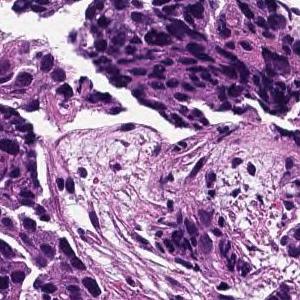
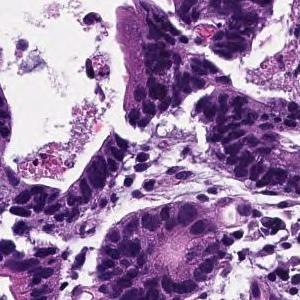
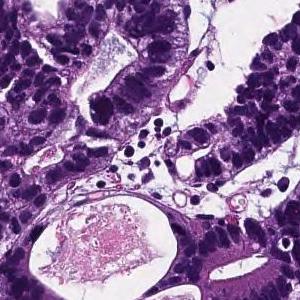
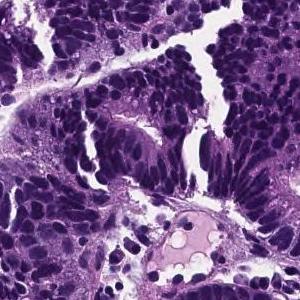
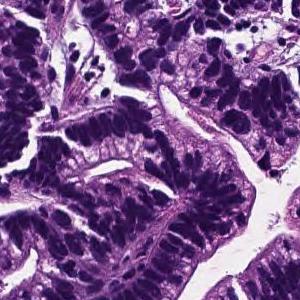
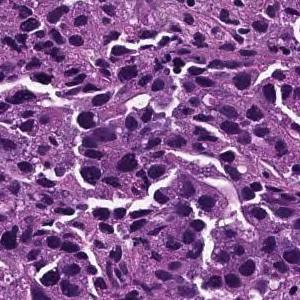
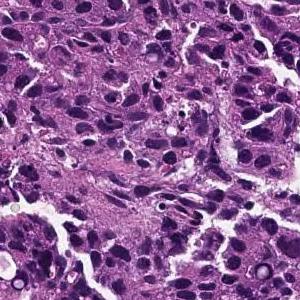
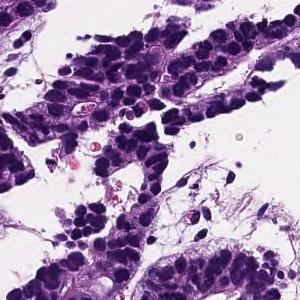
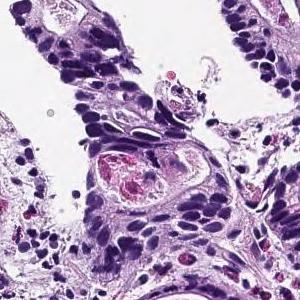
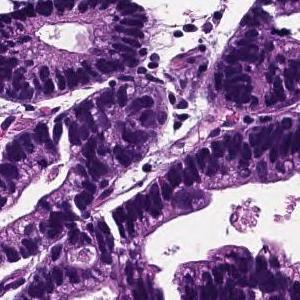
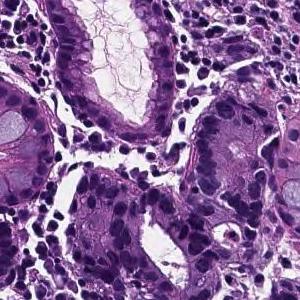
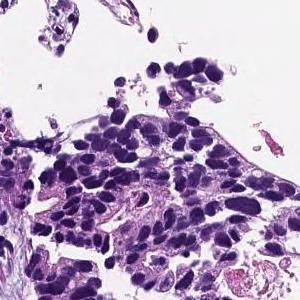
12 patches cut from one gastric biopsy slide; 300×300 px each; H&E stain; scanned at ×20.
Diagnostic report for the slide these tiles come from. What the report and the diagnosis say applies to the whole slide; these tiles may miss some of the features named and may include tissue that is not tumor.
From the superficial epithelium to the muscularis mucosae, tumor tissue consisting of medium-sized and irregular glandular ducts infiltrating is observed. Well differentiated tubular adenocarcinoma
